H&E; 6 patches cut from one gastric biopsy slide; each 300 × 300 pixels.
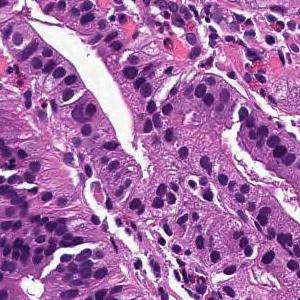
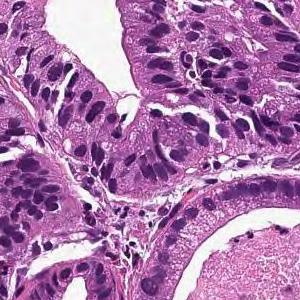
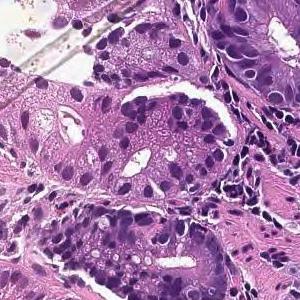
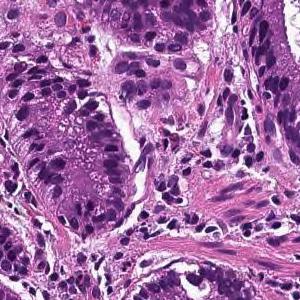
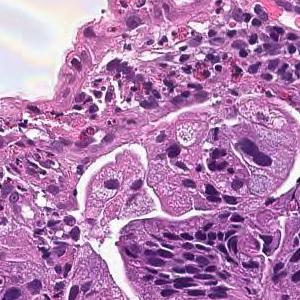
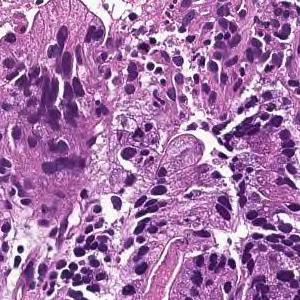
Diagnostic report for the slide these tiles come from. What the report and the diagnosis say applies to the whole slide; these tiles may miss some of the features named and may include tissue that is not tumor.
Tumor cells are large, highly columnar, large club-shaped nuclei, and are associated with chromatin aggregation. Papillary adenocarcinoma.
